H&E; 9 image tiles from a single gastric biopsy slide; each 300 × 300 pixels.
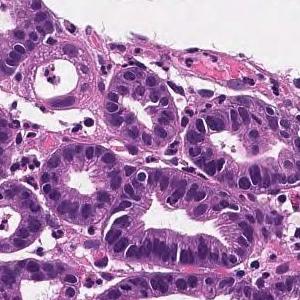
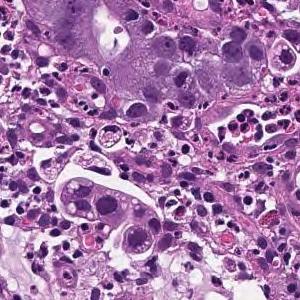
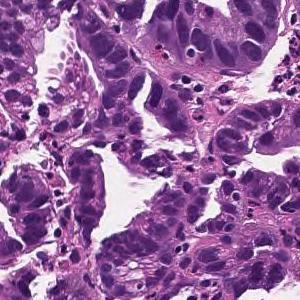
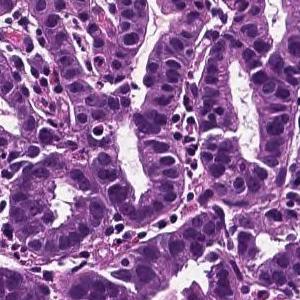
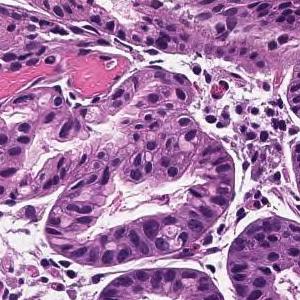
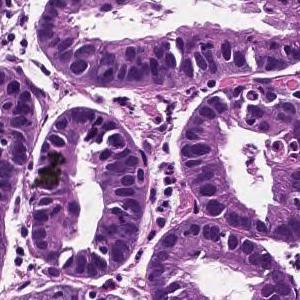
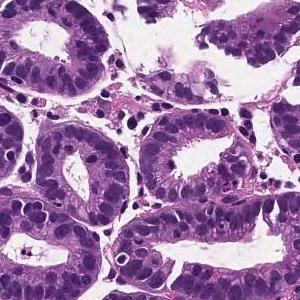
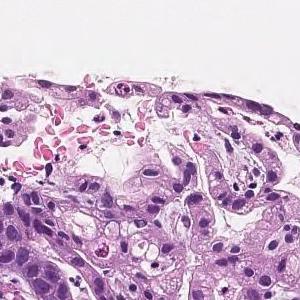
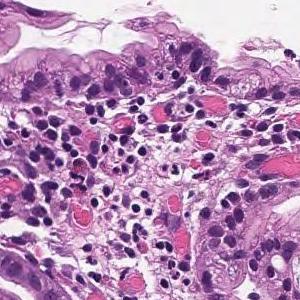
Pathology report for the biopsy slide these tiles were cut from. The findings and the diagnosis refer to the entire slide; these tiles show only part of it, possibly with non-tumor tissue, and may not show every feature named.
On the superficial epithelium, tumor tissue consisting of medium-sized irregular or small round gland ducts showing a small cord-like shape and infiltrating is observed. Well differentiated tubular adenocarcinoma or Poorly differentiated adenocarcinoma, non-solid type
Dataset label: well differentiated tubular adenocarcinoma.
"Non-solid type" is a category of the Japanese Classification of Gastric Carcinoma.
